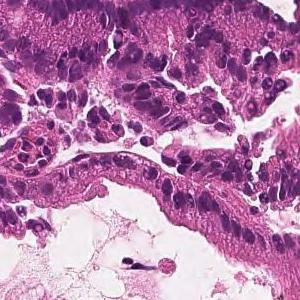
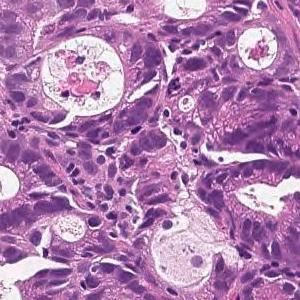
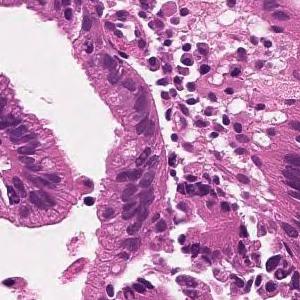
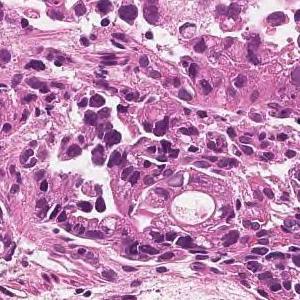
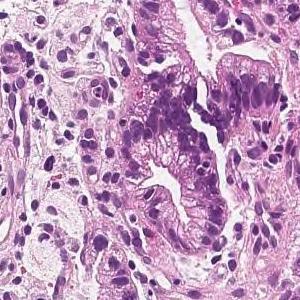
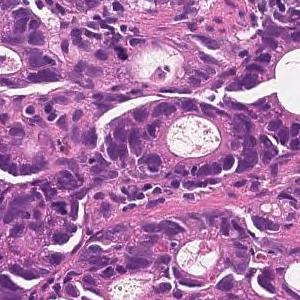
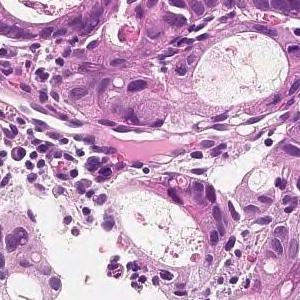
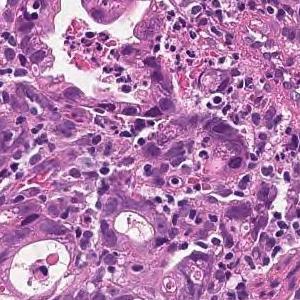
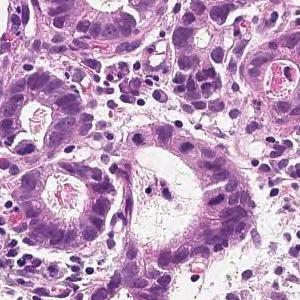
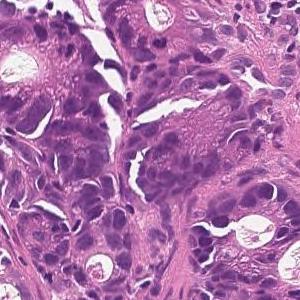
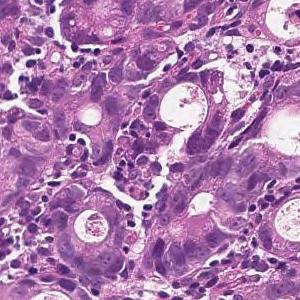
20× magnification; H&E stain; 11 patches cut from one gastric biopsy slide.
Pathology report for the biopsy slide these tiles were cut from. The report and the diagnosis describe the slide as a whole, so these tiles may not show every feature named and may include non-tumor tissue.
On the superficial epithelium, tumor tissue is found in which medium-sized irregular gland ducts fuse with each other and infiltrate. moderately differentiated tubular adenocarcinoma
